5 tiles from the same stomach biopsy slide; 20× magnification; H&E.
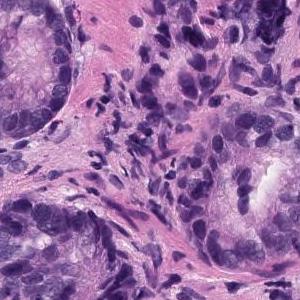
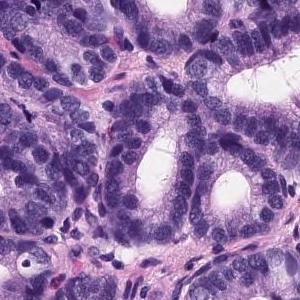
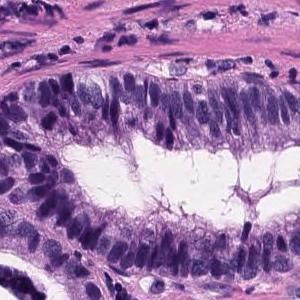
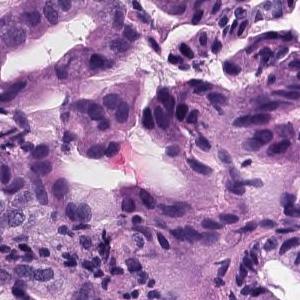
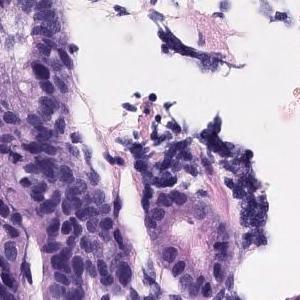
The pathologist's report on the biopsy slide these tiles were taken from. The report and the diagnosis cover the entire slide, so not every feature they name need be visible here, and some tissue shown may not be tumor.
Tumor tissue consisting of medium-sized and irregular ducts is observed infiltrating in the superficial epithelium. Tumor cells are highly columnar, with nuclei aligned basolaterally and polarized. Well differentiated tubular adenocarcinoma.
